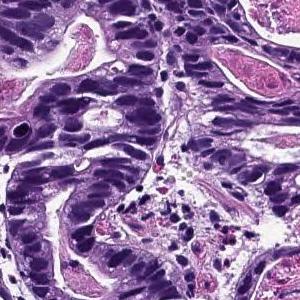
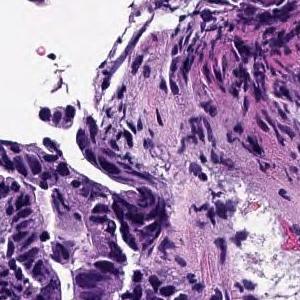
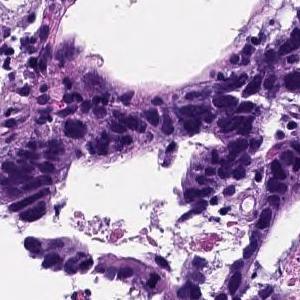
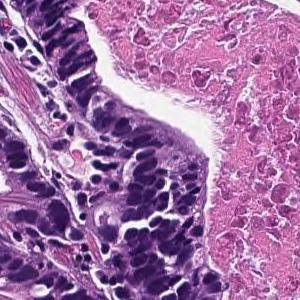
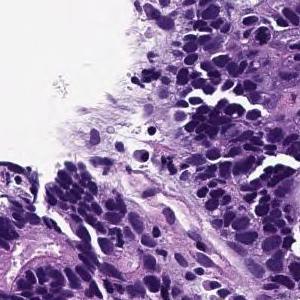
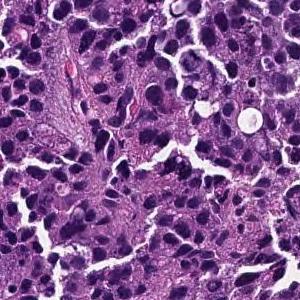
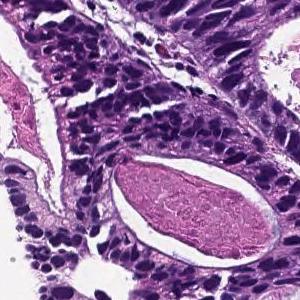
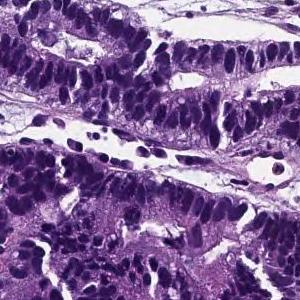
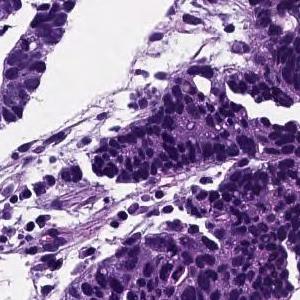
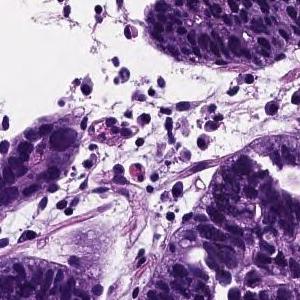
10 tiles from the same stomach biopsy slide, ×20.
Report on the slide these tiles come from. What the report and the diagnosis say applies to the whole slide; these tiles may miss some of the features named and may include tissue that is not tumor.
From the superficial epithelium to the muscularis mucosae, tumor tissue consisting of medium-sized and irregular glandular ducts infiltrating is observed. Well differentiated tubular adenocarcinoma
